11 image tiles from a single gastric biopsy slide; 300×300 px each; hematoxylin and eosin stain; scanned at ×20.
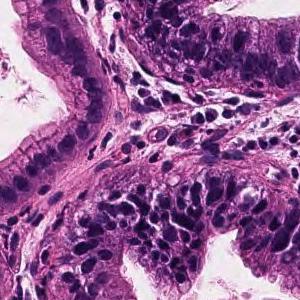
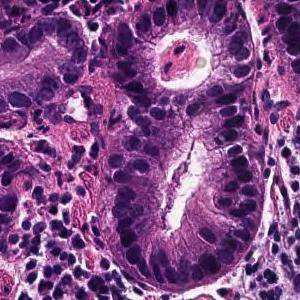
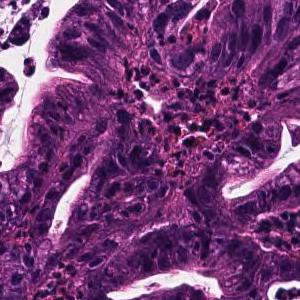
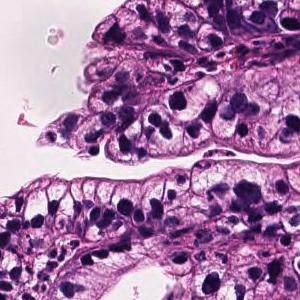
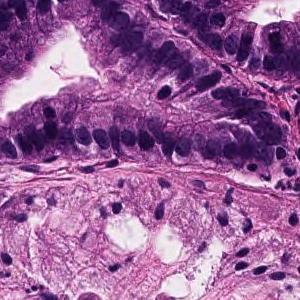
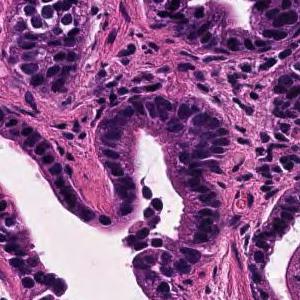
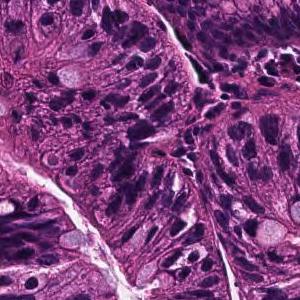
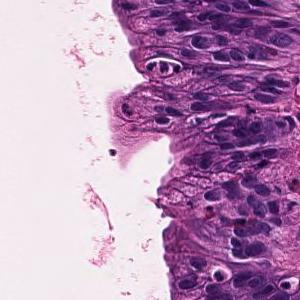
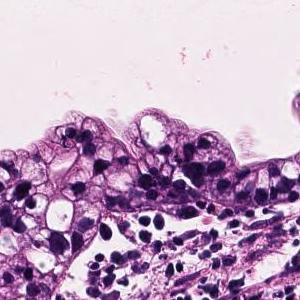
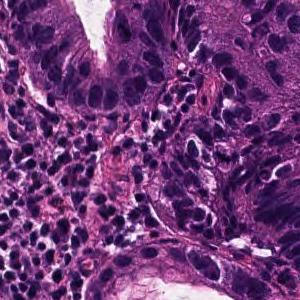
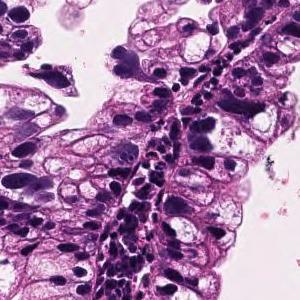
Diagnostic report for the slide these tiles come from. Both the report and the diagnosis are for the whole slide: these tiles need not show every feature named, and some of the tissue shown may not be tumor.
Tumor cells are large, highly columnar, large club-shaped nuclei, and are associated with chromatin aggregation. Papillary adenocarcinoma.
